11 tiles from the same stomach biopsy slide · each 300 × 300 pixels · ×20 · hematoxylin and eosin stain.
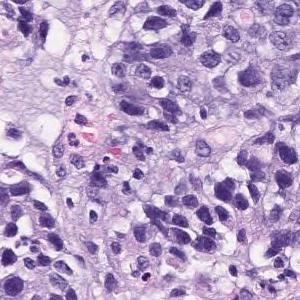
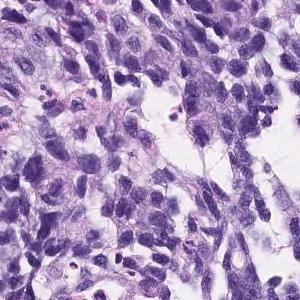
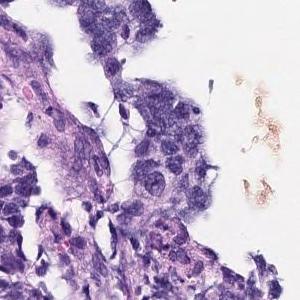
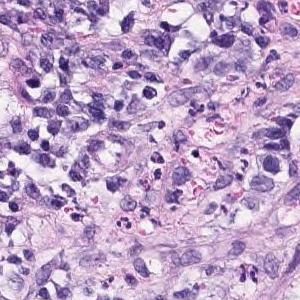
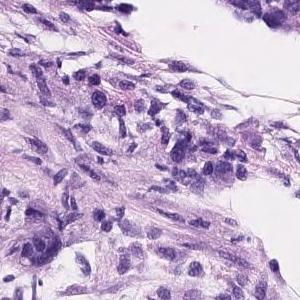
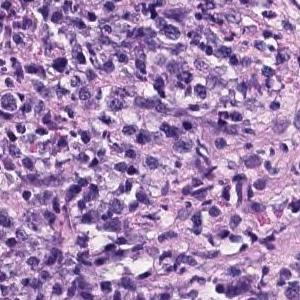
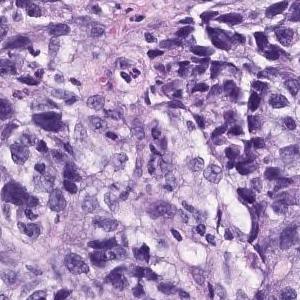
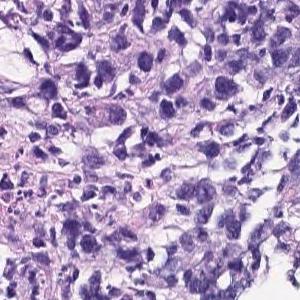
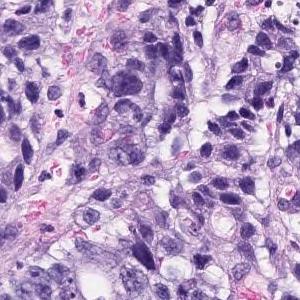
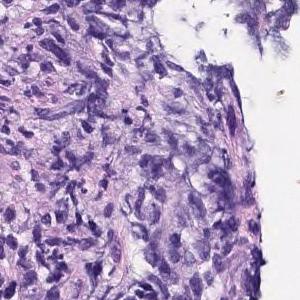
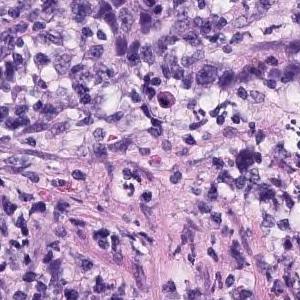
The pathologist's report on the biopsy slide these tiles were taken from. Both the report and the diagnosis are for the whole slide: these tiles need not show every feature named, and some of the tissue shown may not be tumor.
The superficial epithelium shows a large sheet-like shape, and some tumor tissue infiltrates with small irregular ducts. Poorly differentiated adenocarcinoma, solid-type
Histologic type: Poorly differentiated adenocarcinoma, solid type (Japanese Classification of Gastric Carcinoma). The WHO 2019 equivalent is tubular adenocarcinoma, poorly differentiated.
